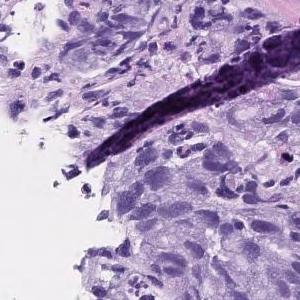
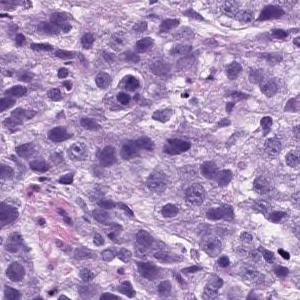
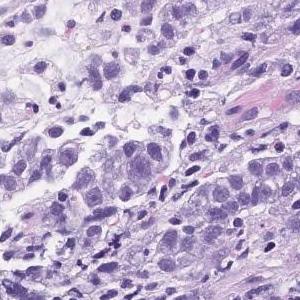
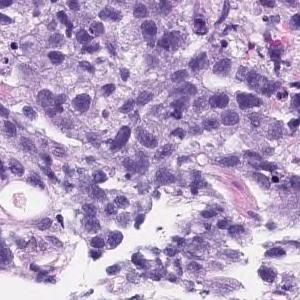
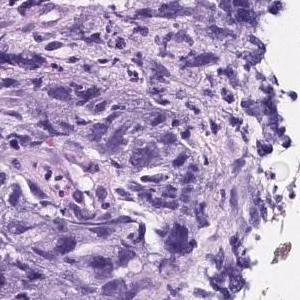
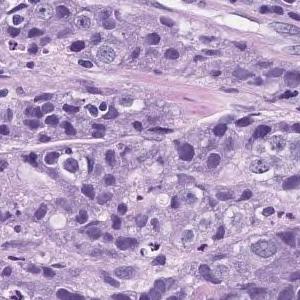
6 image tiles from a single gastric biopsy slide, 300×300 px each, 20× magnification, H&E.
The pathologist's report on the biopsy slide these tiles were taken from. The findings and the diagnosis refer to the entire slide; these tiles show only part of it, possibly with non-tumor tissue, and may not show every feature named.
Atypical l cells with atypical nuclei forming solid vesicles or small irregular atypical ducts that proliferate in a complex manner. poorly differentiated adenocarcinoma, solid type, moderately differentiated tubular adenocarcinoma
"Solid type" is a category of the Japanese Classification of Gastric Carcinoma; in the WHO 2019 classification it is tubular adenocarcinoma, poorly differentiated.
